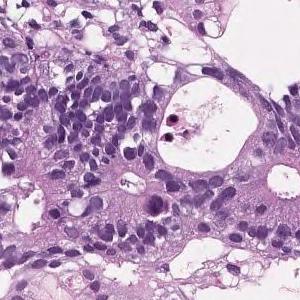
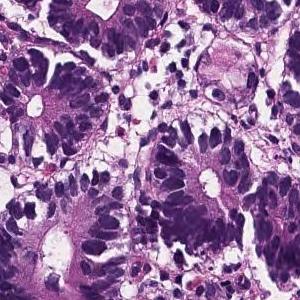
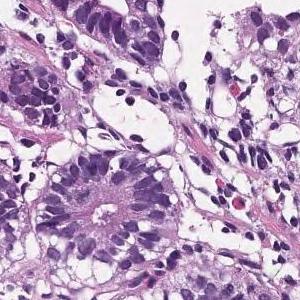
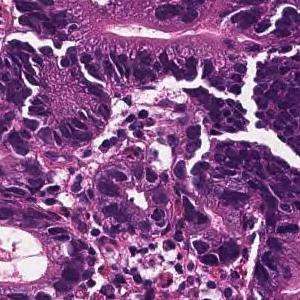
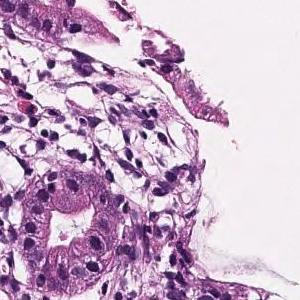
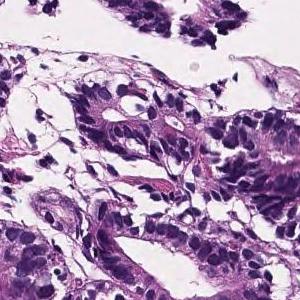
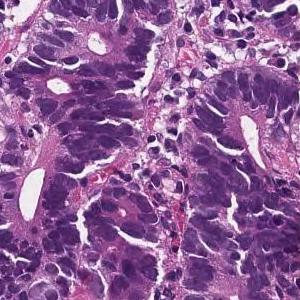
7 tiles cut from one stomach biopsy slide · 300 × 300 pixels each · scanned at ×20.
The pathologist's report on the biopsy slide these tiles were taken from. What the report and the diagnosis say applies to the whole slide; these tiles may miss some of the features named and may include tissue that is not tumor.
On the superficial epithelium, tumor tissue consisting of large, irregular glandular ducts partially fused and infiltrated is observed. Well to moderately differentiated tubular adenocarcinoma (well differentiated tubular adenocarcinoma, moderately differentiated tubular adenocarcinoma)
Histological subtype: Well to moderately differentiated tubular adenocarcinoma.
